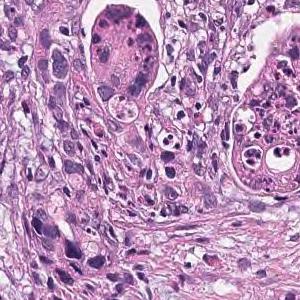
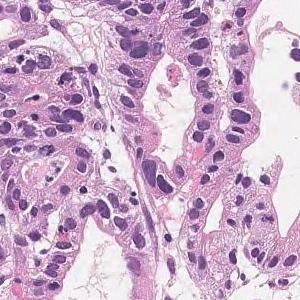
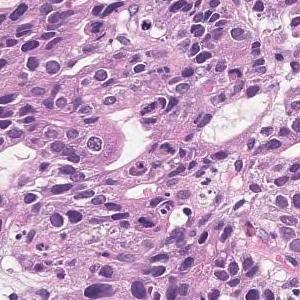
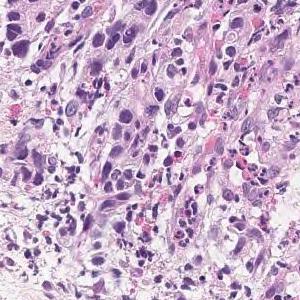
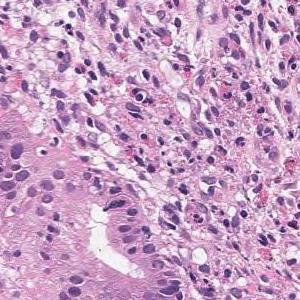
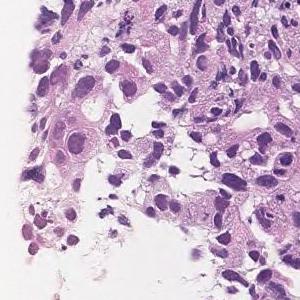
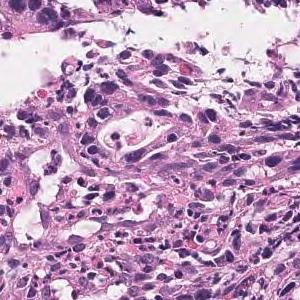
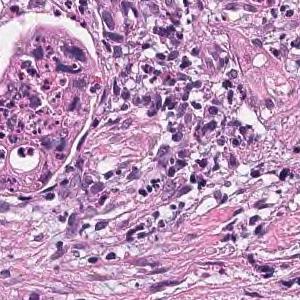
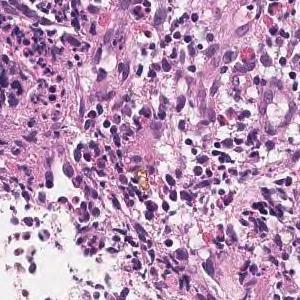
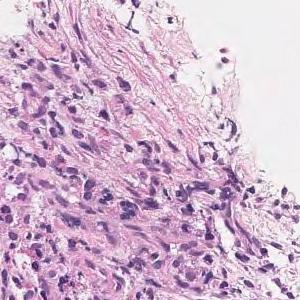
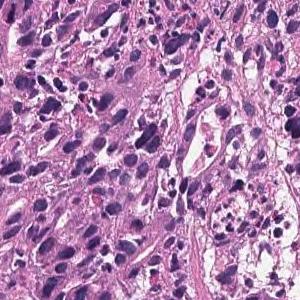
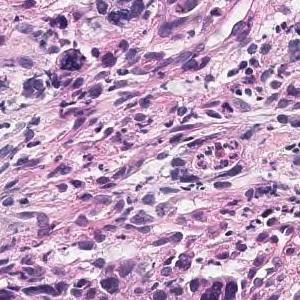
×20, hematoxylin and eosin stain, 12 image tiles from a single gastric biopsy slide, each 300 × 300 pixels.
Diagnostic report for the slide these tiles come from. The report and the diagnosis cover the entire slide, so not every feature they name need be visible here, and some tissue shown may not be tumor.
Tumor tissue that grows by forming glandular cavities from the superficial layer to the submucosa is observed. Well differentiated tubular adenocarcinoma
